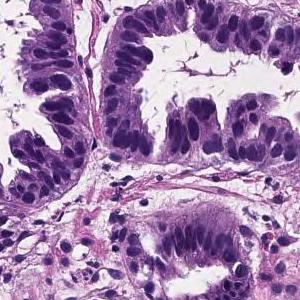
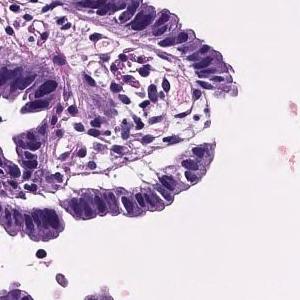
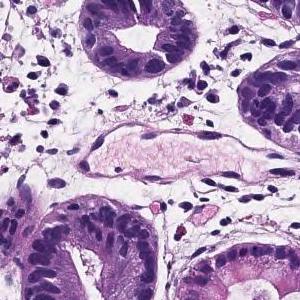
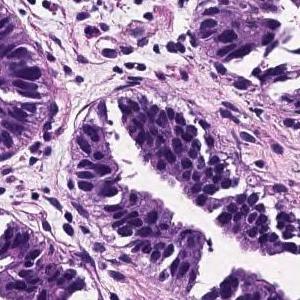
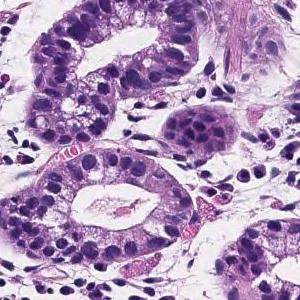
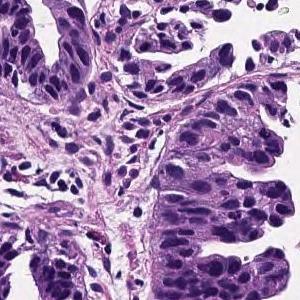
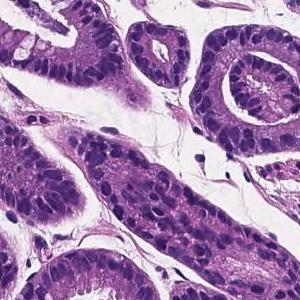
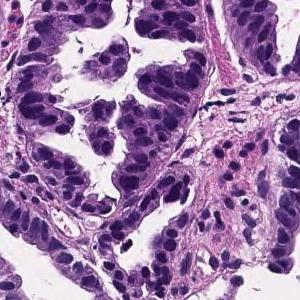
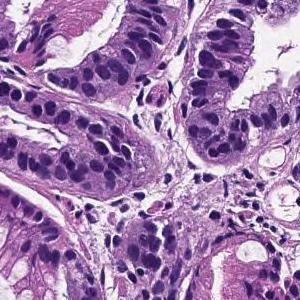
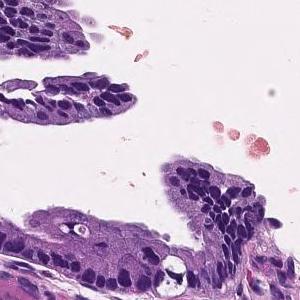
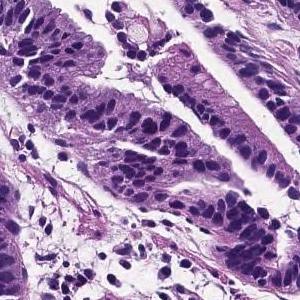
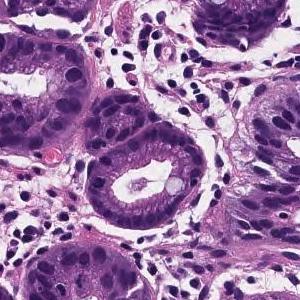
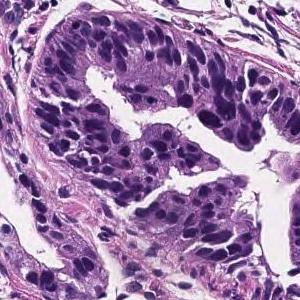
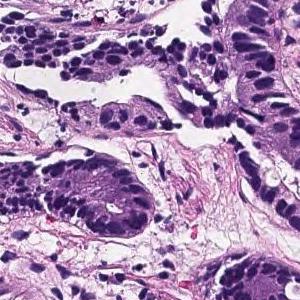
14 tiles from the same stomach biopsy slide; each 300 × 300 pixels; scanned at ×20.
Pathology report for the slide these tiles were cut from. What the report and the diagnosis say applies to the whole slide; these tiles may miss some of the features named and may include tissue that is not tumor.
Tumor cells are large, highly columnar, large club-shaped nuclei, and are associated with chromatin aggregation. Papillary adenocarcinoma.
